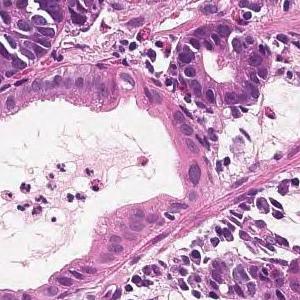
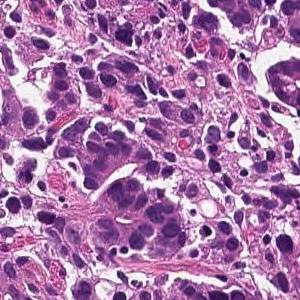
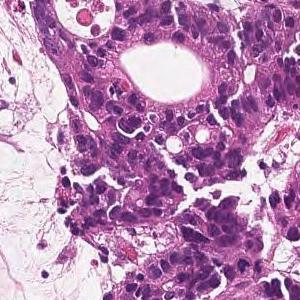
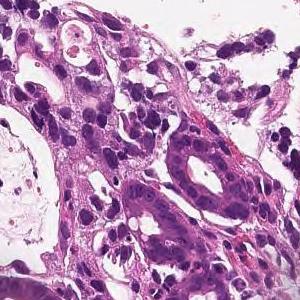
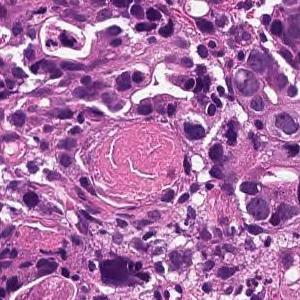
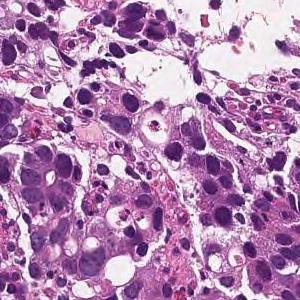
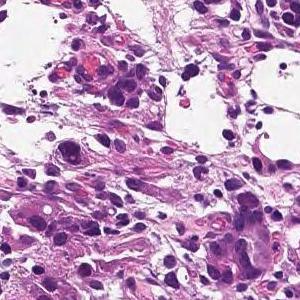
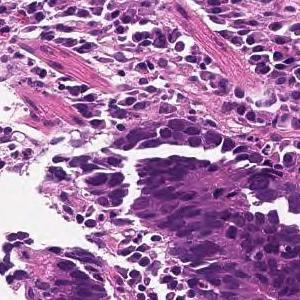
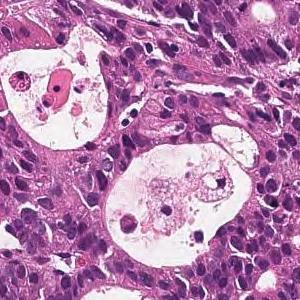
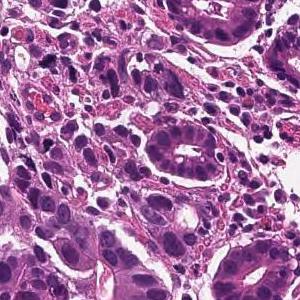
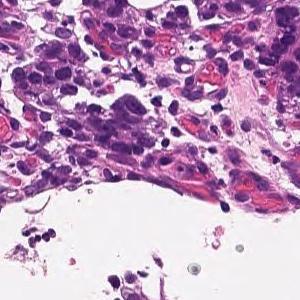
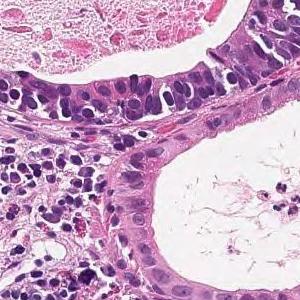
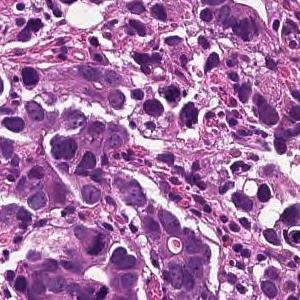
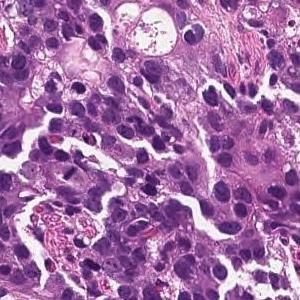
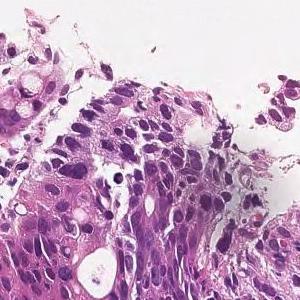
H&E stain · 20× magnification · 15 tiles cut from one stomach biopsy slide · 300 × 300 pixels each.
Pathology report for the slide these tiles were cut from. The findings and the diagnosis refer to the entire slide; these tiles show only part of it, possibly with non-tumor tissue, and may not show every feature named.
On the superficial epithelium, tumor tissue is found in which medium-sized irregular gland ducts fuse with each other and infiltrate. moderately differentiated tubular adenocarcinoma
